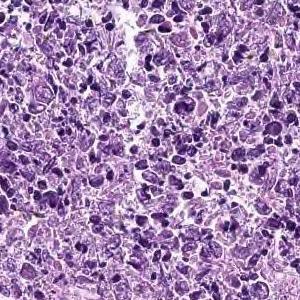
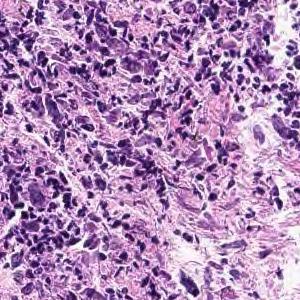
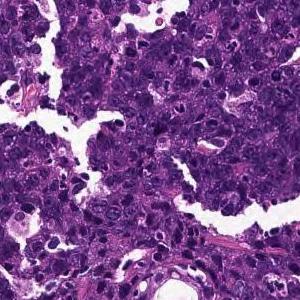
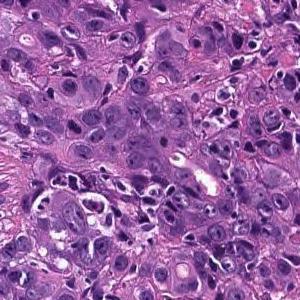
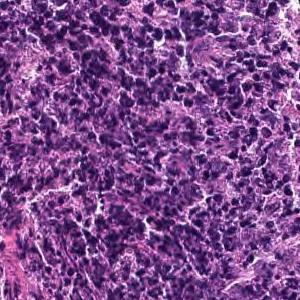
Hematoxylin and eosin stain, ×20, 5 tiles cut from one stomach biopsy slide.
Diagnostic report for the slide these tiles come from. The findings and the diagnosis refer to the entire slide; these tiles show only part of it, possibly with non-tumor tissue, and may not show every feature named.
Cancers with polygonal nuclei do not show glandular formation and are densely, in part, cord-like and proliferate. Poorly differentiated adenocarcinoma
Tumor subtype: poorly differentiated adenocarcinoma, non-solid type.
"Non-solid type" is a category of the Japanese Classification of Gastric Carcinoma.
